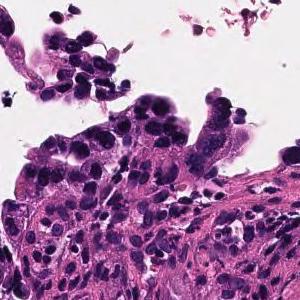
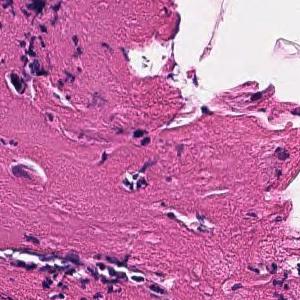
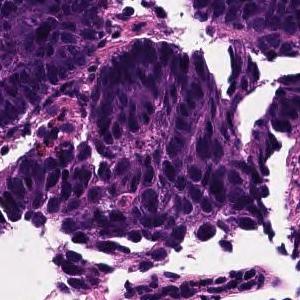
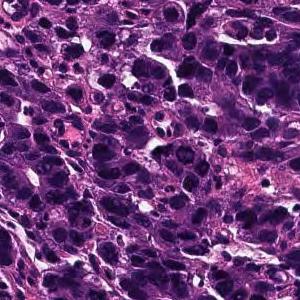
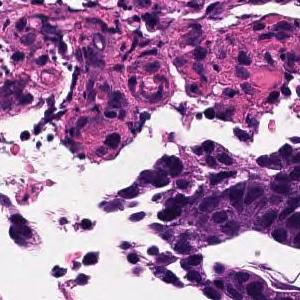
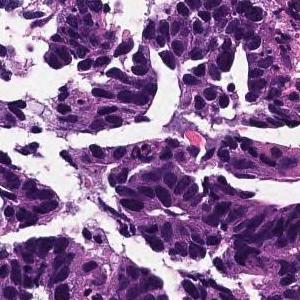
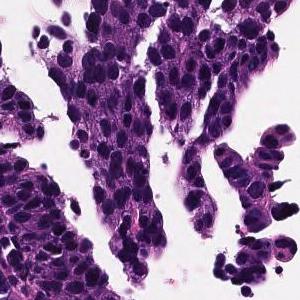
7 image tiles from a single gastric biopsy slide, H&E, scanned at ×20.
Pathology report for the slide these tiles were cut from. The report and the diagnosis cover the entire slide, so not every feature they name need be visible here, and some tissue shown may not be tumor.
In the superficial epithelium, tumor tissue that invades by forming medium-sized to small, irregular ducts is observed. moderately differentiated tubular adenocarcinoma.
